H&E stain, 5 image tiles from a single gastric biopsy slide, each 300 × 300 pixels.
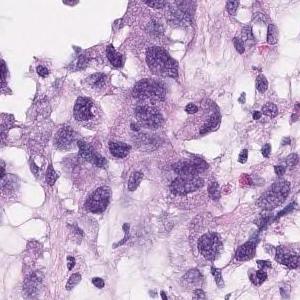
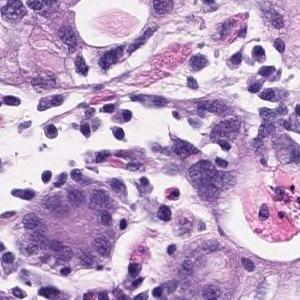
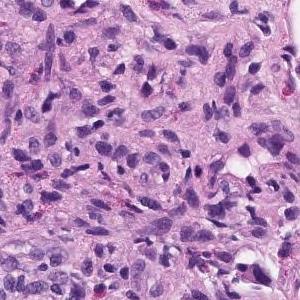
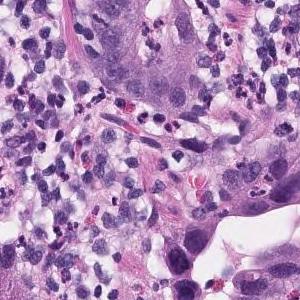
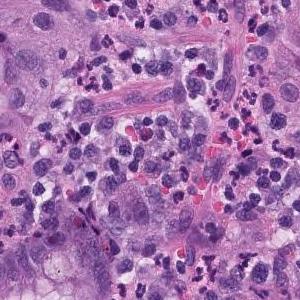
The pathologist's report on the biopsy slide these tiles were taken from. The findings and the diagnosis refer to the entire slide; these tiles show only part of it, possibly with non-tumor tissue, and may not show every feature named.
Group 5, Adenocarcinoma. Moderately to poorly differentiated adenocarcinoma
